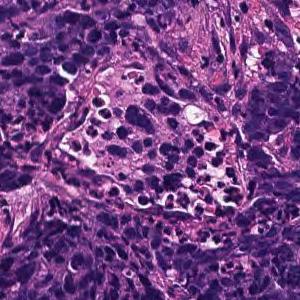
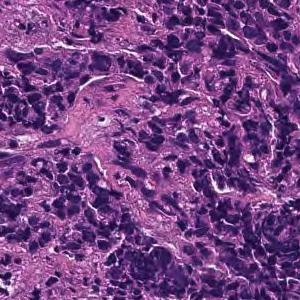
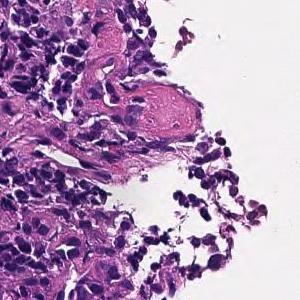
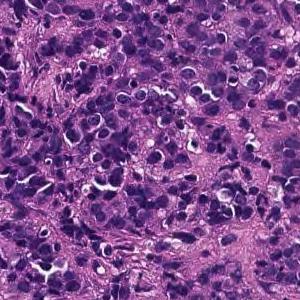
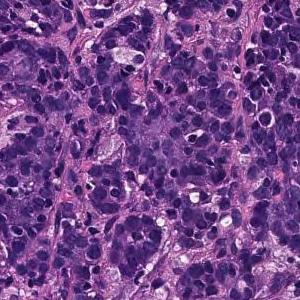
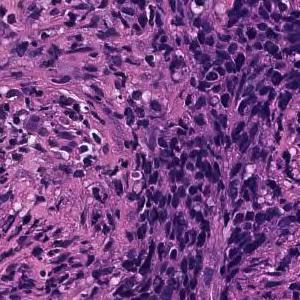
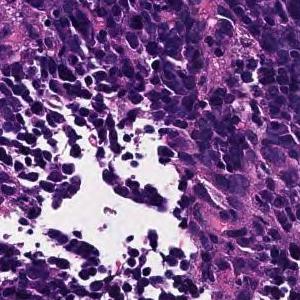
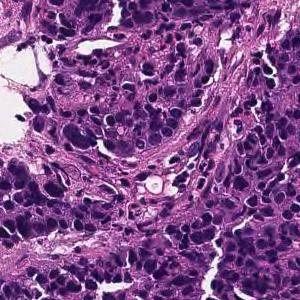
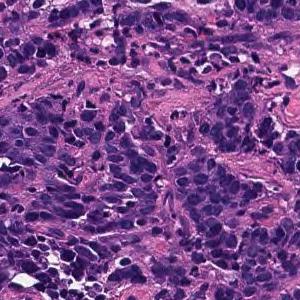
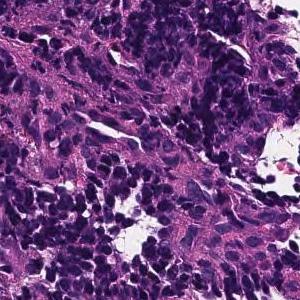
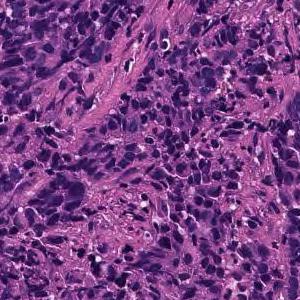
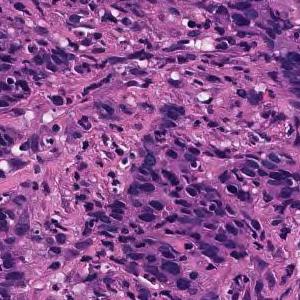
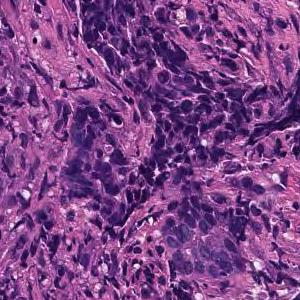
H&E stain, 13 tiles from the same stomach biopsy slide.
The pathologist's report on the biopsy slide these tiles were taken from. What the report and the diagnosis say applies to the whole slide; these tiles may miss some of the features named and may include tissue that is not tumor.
Tumor tissue consisting of cord-like or small, irregular glandular ducts fused and infiltrated is observed in the superficial epithelium. Poorly differentiated adenocarcinoma, non-solid type
"Non-solid type" is a category of the Japanese Classification of Gastric Carcinoma.
